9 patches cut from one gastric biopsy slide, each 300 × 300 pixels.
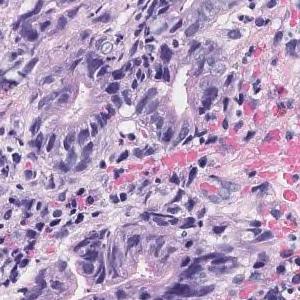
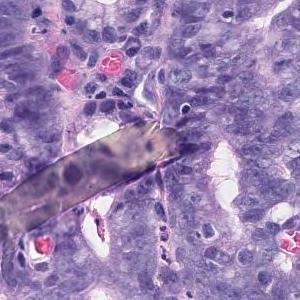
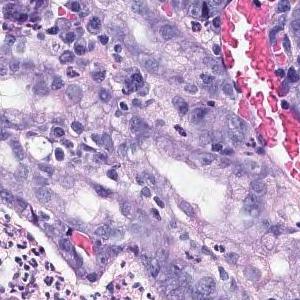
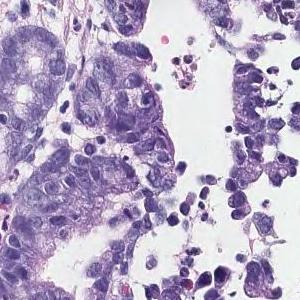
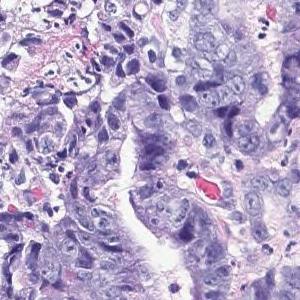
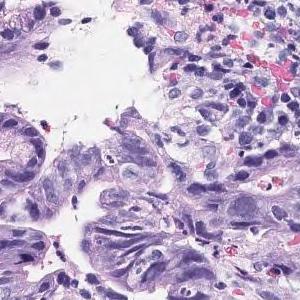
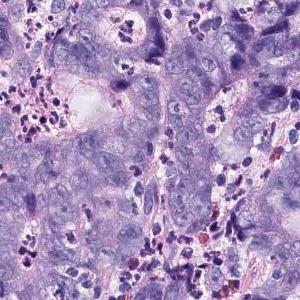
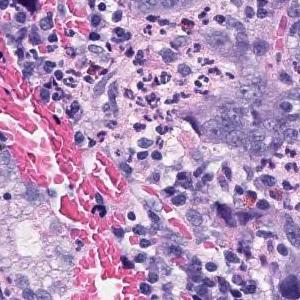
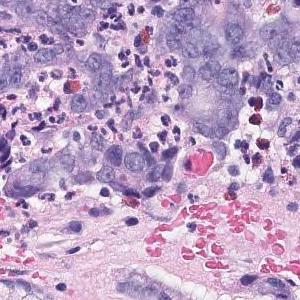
Report on the slide these tiles come from. The report describes the whole slide, diagnosis included: not every finding it names need appear in these tiles, which may also show non-tumor tissue.
In the superficial epithelium, tumor tissue that invades by forming medium-sized to small, irregular ducts is observed. Moderately differentiated adenocarcinoma.
Histological subtype: Moderately differentiated tubular adenocarcinoma.
